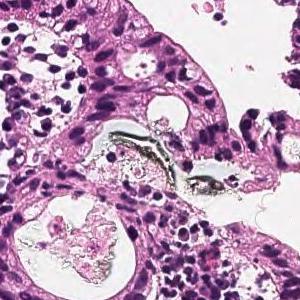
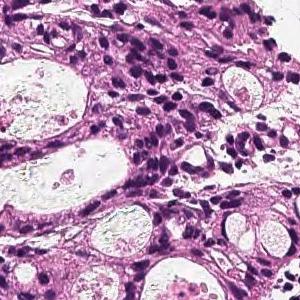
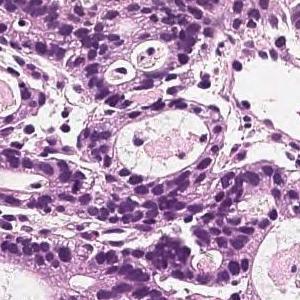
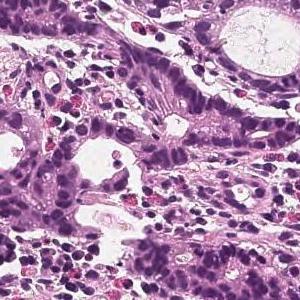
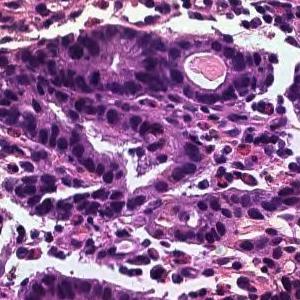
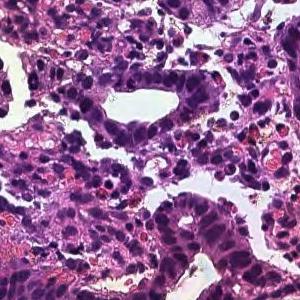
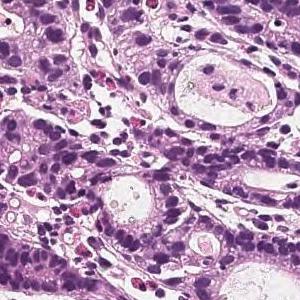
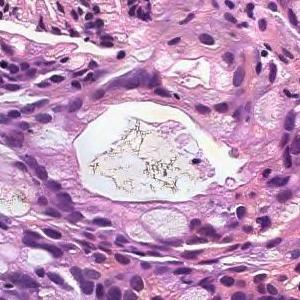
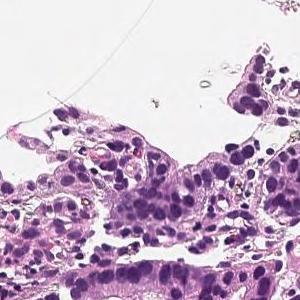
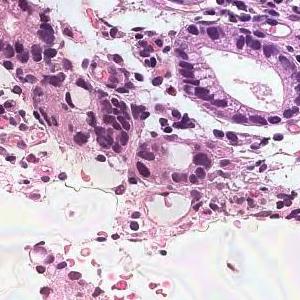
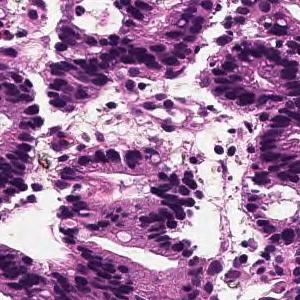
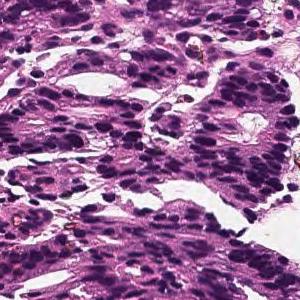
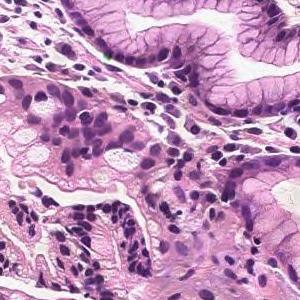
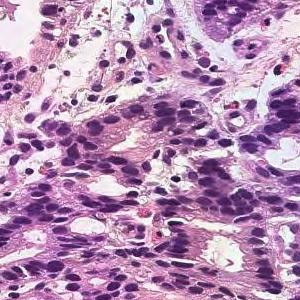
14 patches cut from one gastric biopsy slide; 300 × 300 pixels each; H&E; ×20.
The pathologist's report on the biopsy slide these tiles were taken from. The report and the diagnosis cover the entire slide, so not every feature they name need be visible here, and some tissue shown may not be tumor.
In the superficial epithelium, tumor tissue that invades by forming medium-sized to small, irregular ducts is observed. moderately differentiated tubular adenocarcinoma.
